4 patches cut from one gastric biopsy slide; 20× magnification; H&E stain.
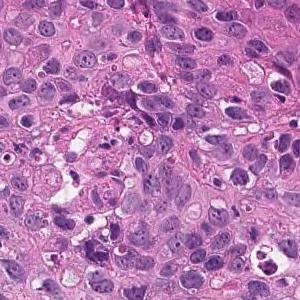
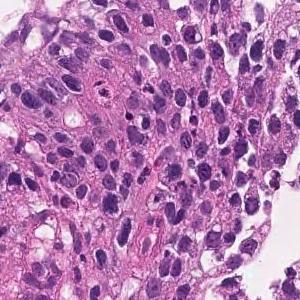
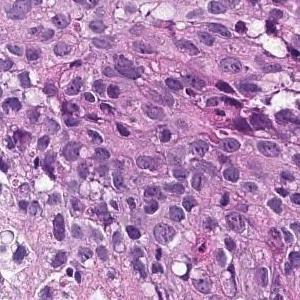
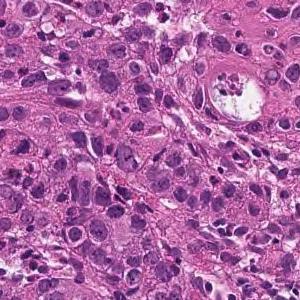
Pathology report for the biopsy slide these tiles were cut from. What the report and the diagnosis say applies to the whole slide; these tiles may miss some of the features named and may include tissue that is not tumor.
The superficial epithelium shows a large sheet-like shape, and some tumor tissue infiltrates with small irregular ducts. Poorly differentiated adenocarcinoma, solid-type
Classified as poorly differentiated adenocarcinoma, solid type, a category of the Japanese Classification of Gastric Carcinoma; in the WHO 2019 classification it is tubular adenocarcinoma, poorly differentiated.
